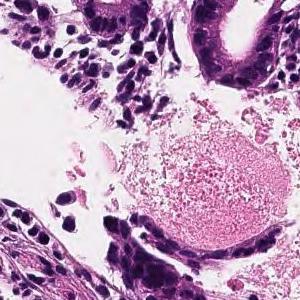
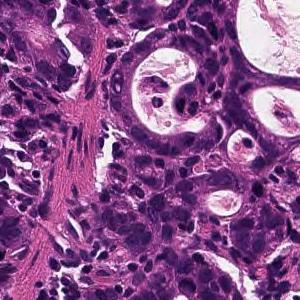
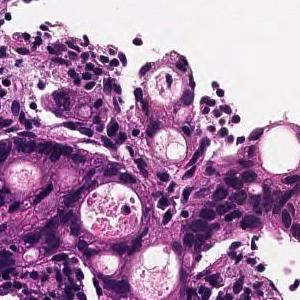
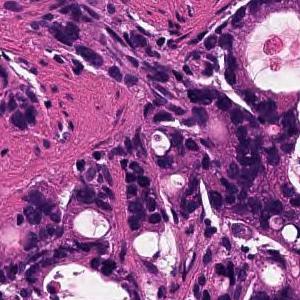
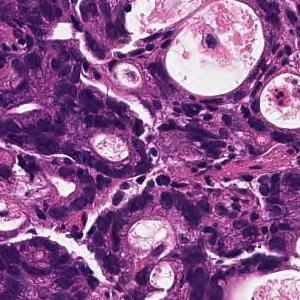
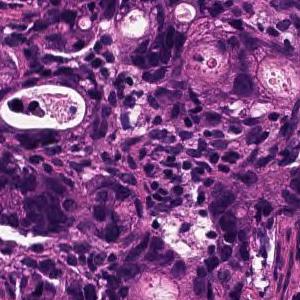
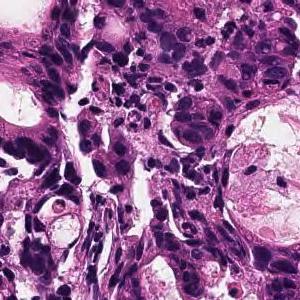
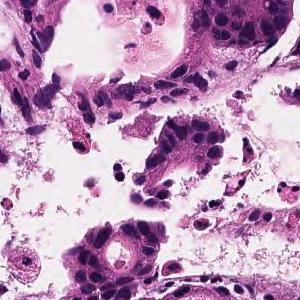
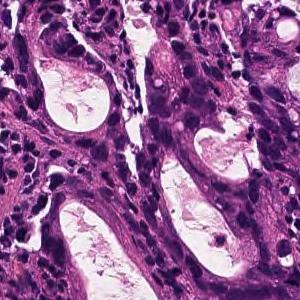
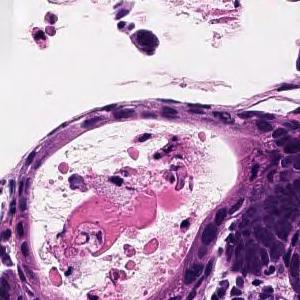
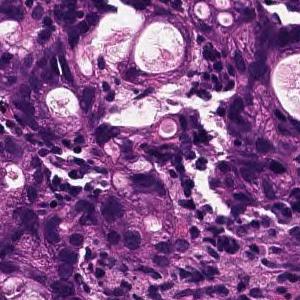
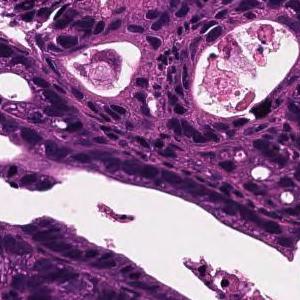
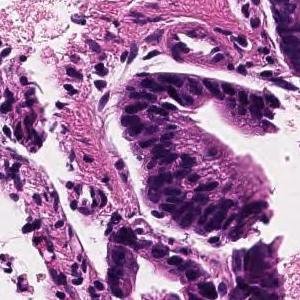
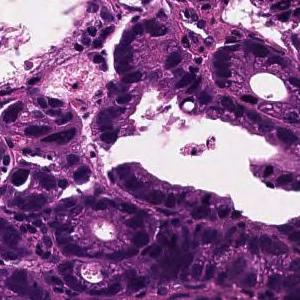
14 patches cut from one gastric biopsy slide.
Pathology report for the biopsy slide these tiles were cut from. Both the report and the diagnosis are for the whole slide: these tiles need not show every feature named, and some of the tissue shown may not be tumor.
In the superficial epithelium, tumor tissue that invades by forming medium-sized to small, irregular ducts is observed. moderately differentiated tubular adenocarcinoma.
